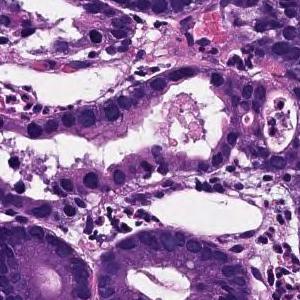
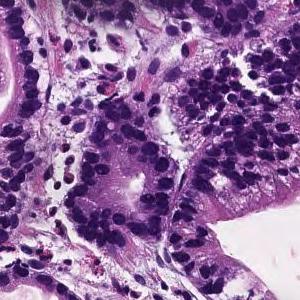
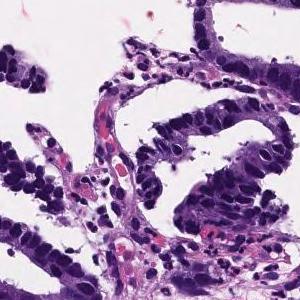
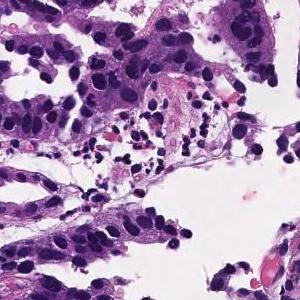
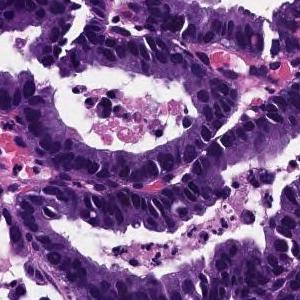
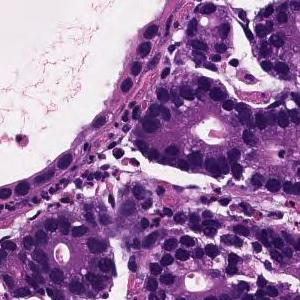
6 patches cut from one gastric biopsy slide, 20× magnification, H&E.
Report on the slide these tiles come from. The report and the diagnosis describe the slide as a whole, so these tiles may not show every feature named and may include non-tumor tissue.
From the superficial epithelium to the muscularis mucosae, tumor tissue consisting of medium-sized and irregular glandular ducts infiltrating is observed. Well differentiated tubular adenocarcinoma
